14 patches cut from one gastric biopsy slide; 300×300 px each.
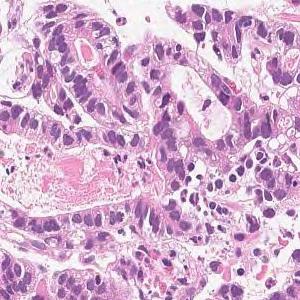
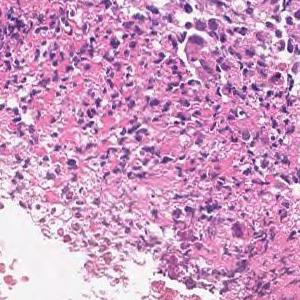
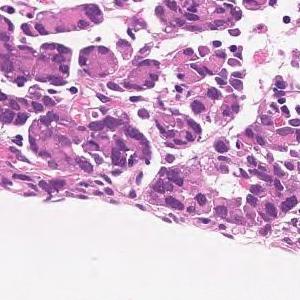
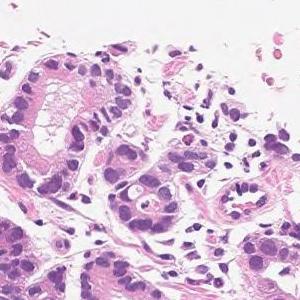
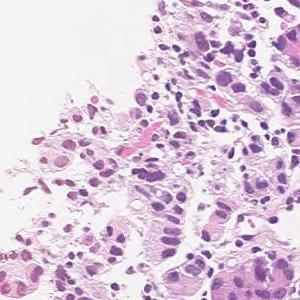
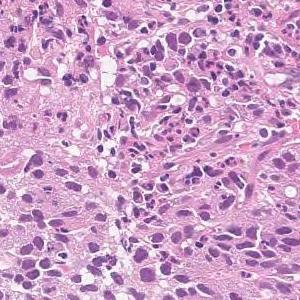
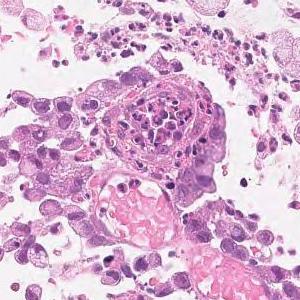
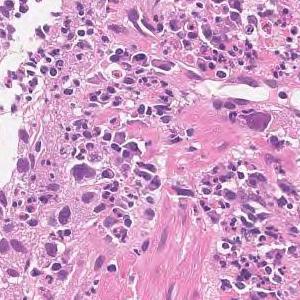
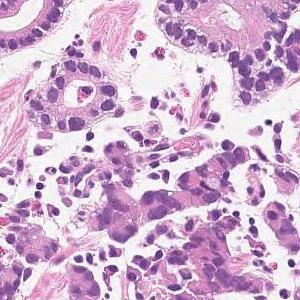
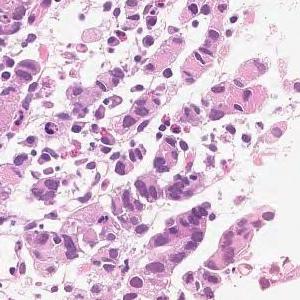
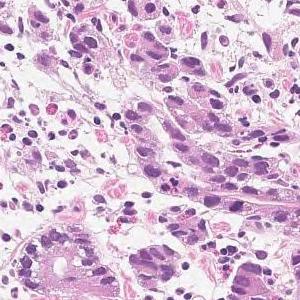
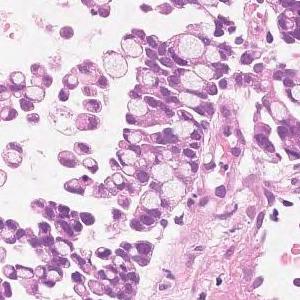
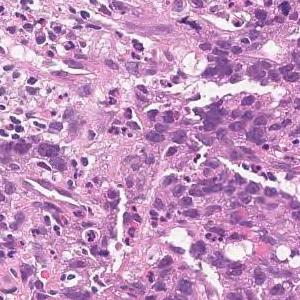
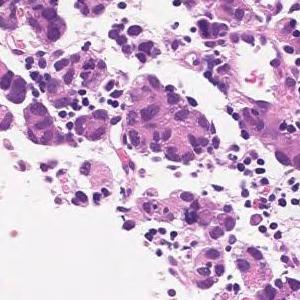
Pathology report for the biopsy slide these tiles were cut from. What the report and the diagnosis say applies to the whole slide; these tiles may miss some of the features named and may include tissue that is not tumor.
Medium to small, irregular glandular ducts are formed in the superficial epithelium, and in some cases, the glandular ducts are fused to show solid alveolar lesions and infiltrating tumor tissue is observed. Moderately to poorly differentiated adenocarcinoma.
